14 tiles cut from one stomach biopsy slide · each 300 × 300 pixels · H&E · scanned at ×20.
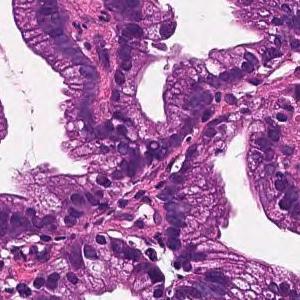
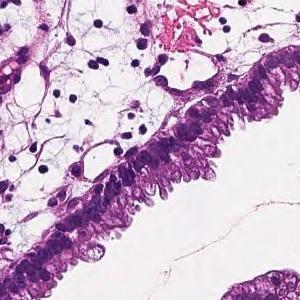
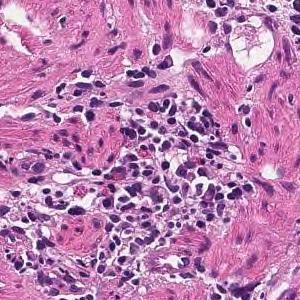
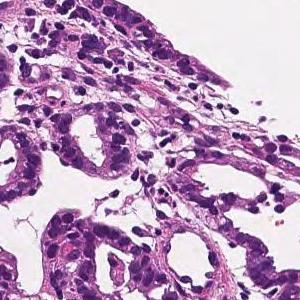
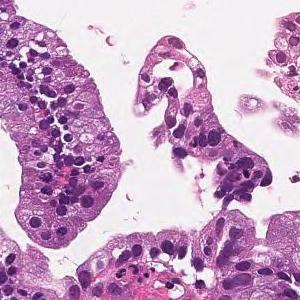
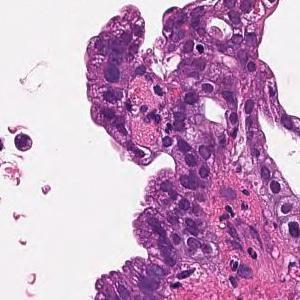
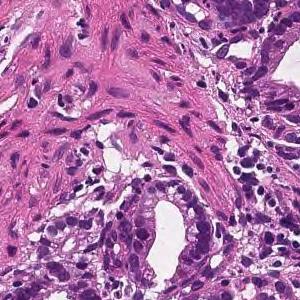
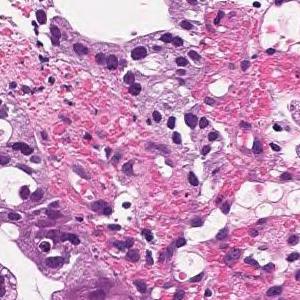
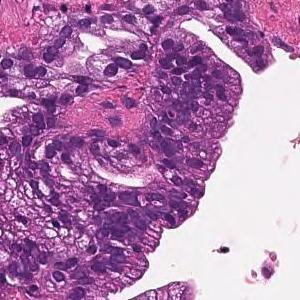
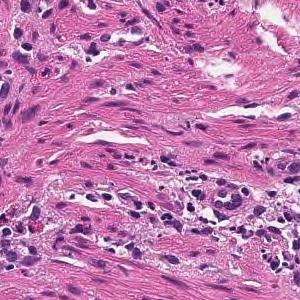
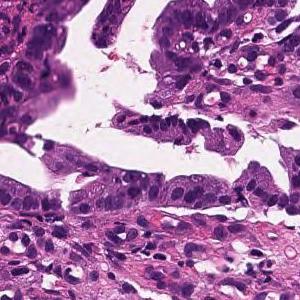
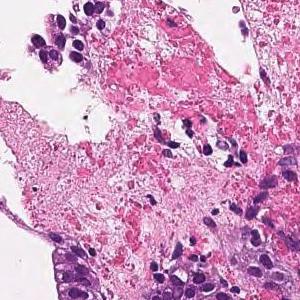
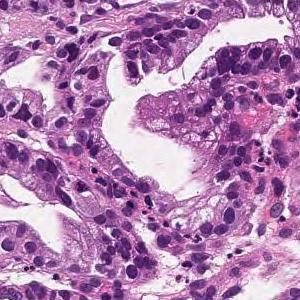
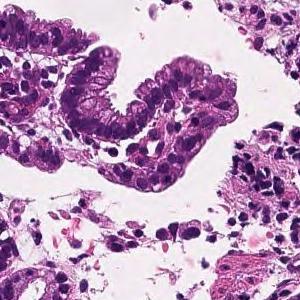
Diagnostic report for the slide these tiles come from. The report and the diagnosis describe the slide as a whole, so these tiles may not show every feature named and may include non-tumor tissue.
On the superficial epithelium, tumor tissue that infiltrates by forming medium-sized papillary or small irregular ducts is observed. Papillary adenocarcinoma
